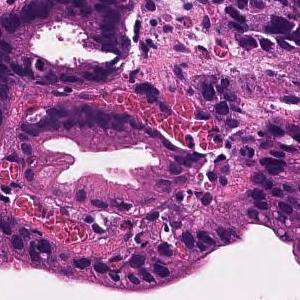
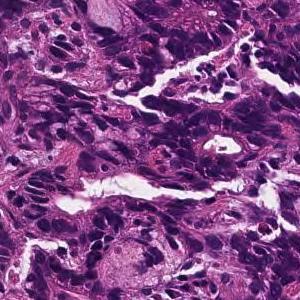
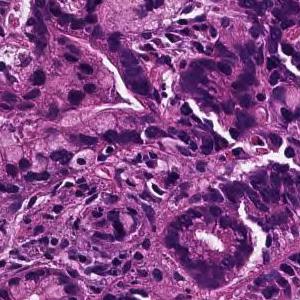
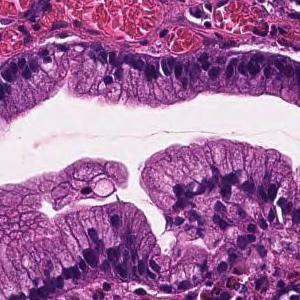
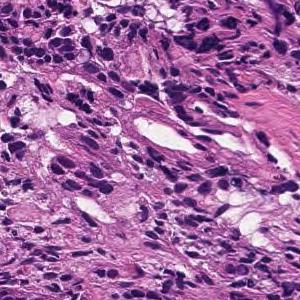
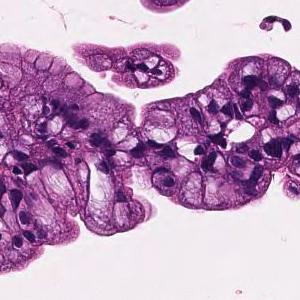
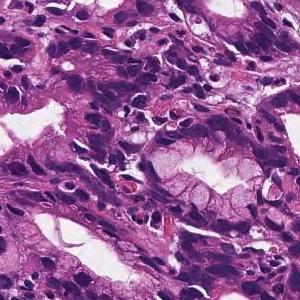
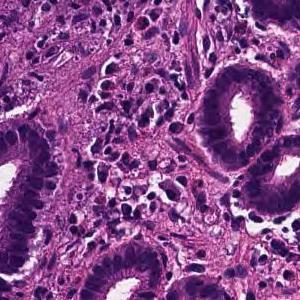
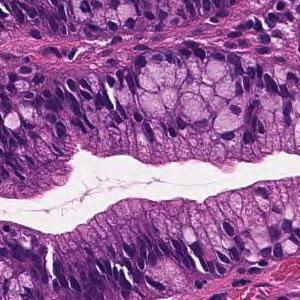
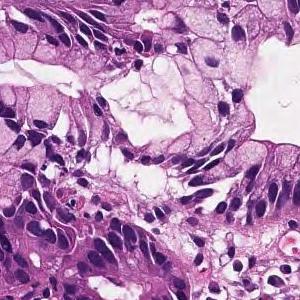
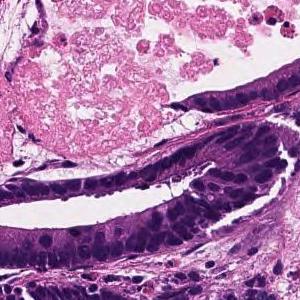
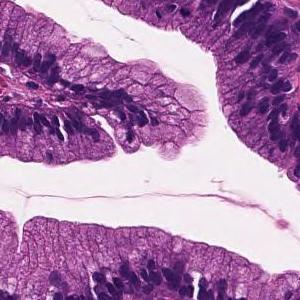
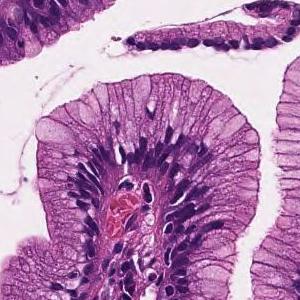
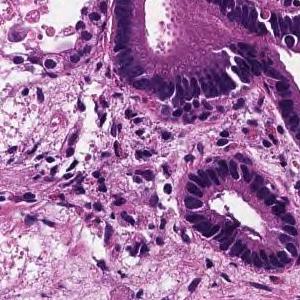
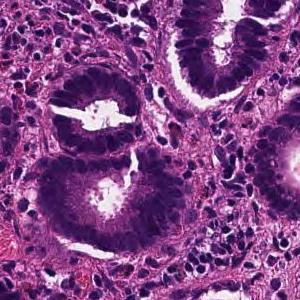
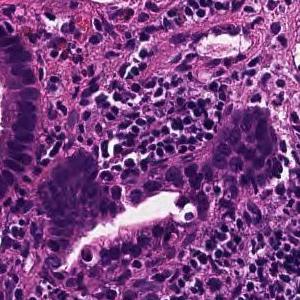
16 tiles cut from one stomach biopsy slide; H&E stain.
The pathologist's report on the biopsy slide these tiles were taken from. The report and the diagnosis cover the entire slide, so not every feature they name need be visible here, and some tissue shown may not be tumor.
On the superficial epithelium, tumor tissue consisting of medium-sized and irregular glandular ducts partially fused and infiltrated is observed. Well to moderately differentiated tubular adenocarcinoma (well differentiated tubular adenocarcinoma-moderately differentiated tubular adenocarcinoma)
Classified as well to moderately differentiated tubular adenocarcinoma.
